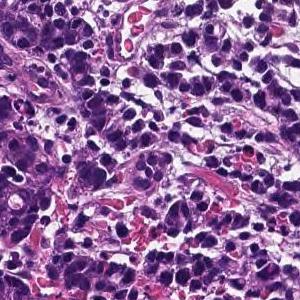
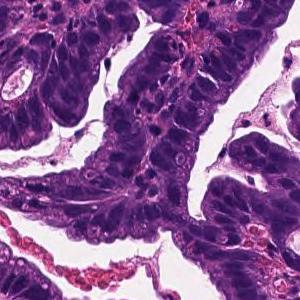
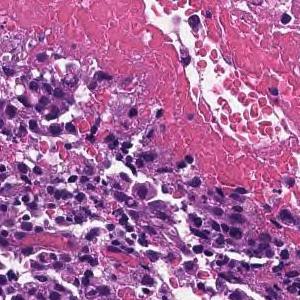
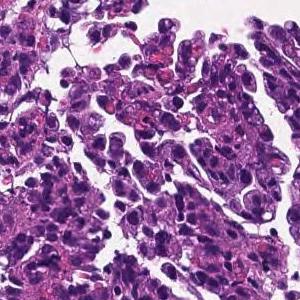
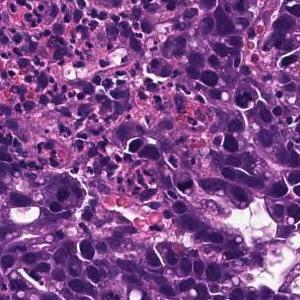
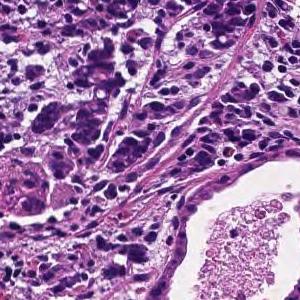
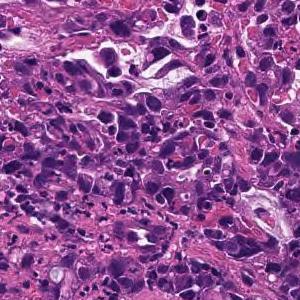
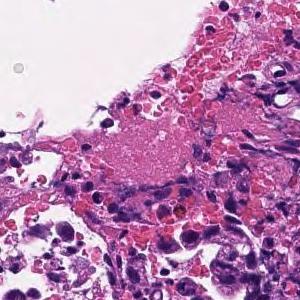
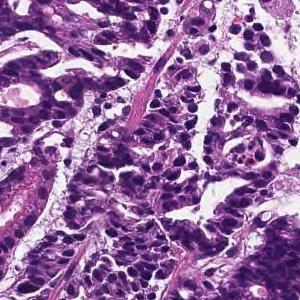
9 patches cut from one gastric biopsy slide.
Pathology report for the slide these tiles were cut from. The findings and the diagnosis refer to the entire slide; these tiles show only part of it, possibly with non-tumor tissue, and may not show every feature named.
In the superficial epithelium, tumor tissue that invades by forming medium-sized to small, irregular ducts is observed. moderately differentiated tubular adenocarcinoma.
